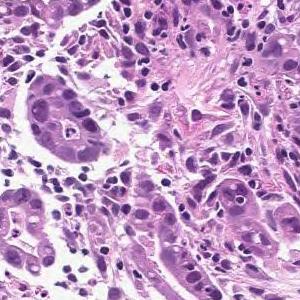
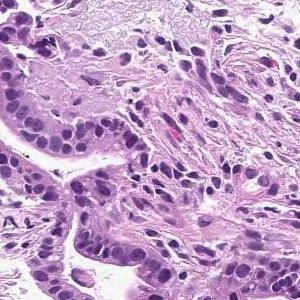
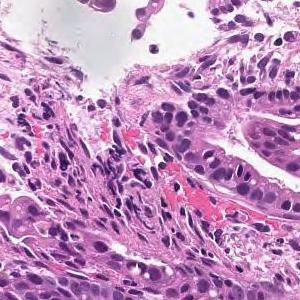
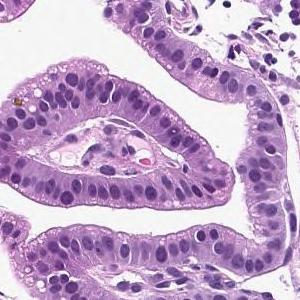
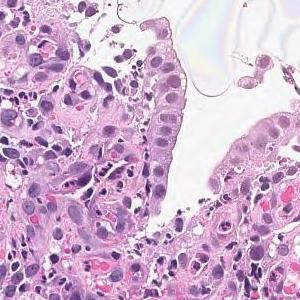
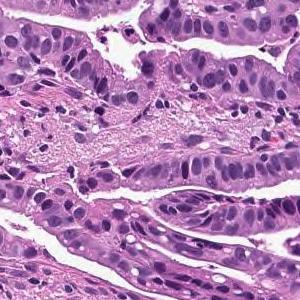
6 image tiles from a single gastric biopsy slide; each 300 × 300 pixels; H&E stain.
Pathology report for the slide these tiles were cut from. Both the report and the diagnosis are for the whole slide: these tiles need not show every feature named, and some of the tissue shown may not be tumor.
On the superficial epithelium, tumor tissue that infiltrates by forming medium-sized papillary or small irregular ducts is observed. Papillary adenocarcinoma
